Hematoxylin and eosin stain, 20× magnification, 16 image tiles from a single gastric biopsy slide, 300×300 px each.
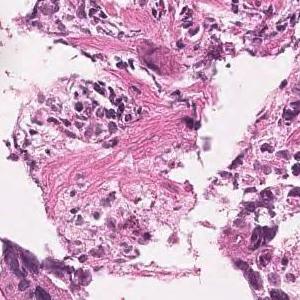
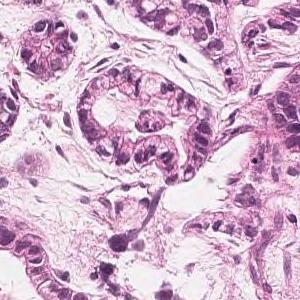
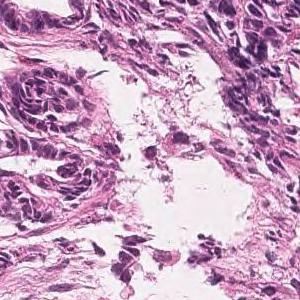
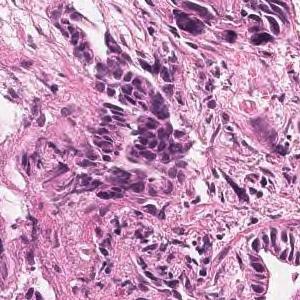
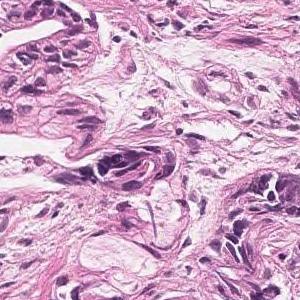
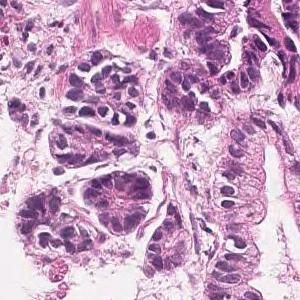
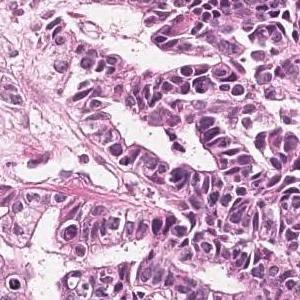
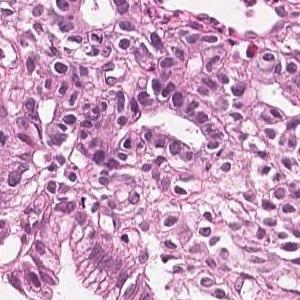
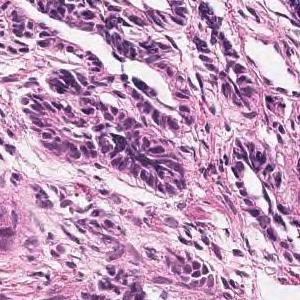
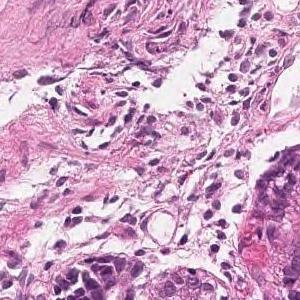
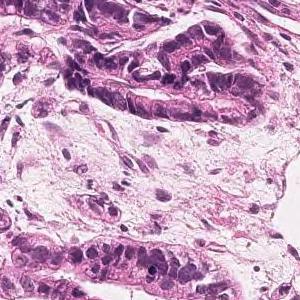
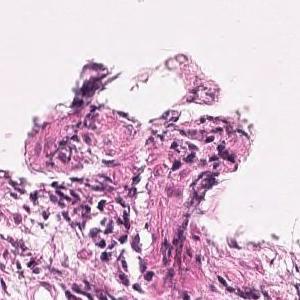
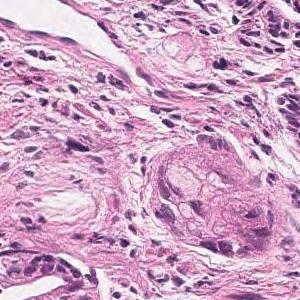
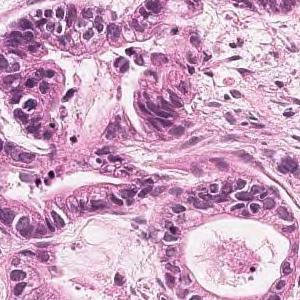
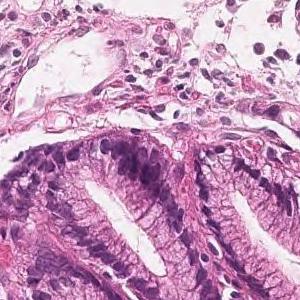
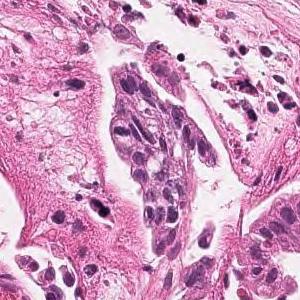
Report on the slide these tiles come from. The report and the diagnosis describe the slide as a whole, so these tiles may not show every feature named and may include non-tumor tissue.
On the superficial epithelium, tumor tissue consisting of large, irregular glandular ducts partially fused and infiltrated is observed. Well to moderately differentiated tubular adenocarcinoma (well differentiated tubular adenocarcinoma, moderately differentiated tubular adenocarcinoma)
Subtype: Well to moderately differentiated tubular adenocarcinoma.
